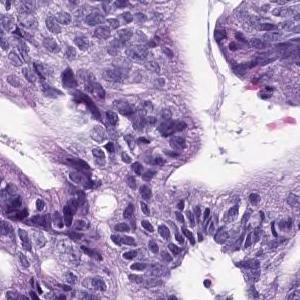
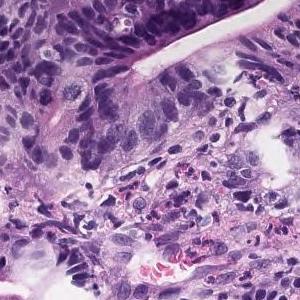
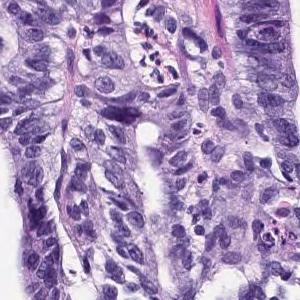
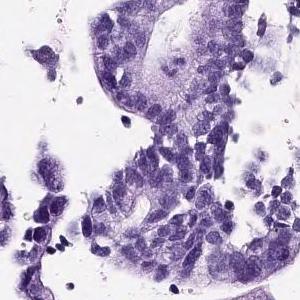
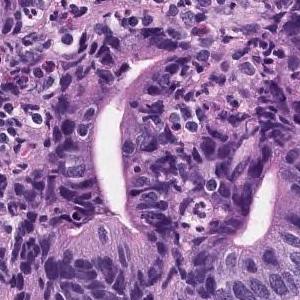
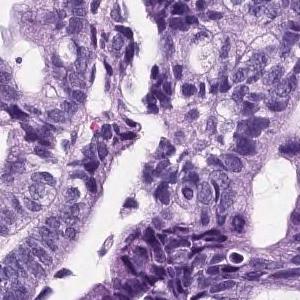
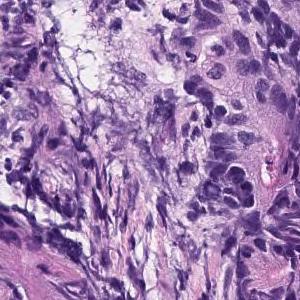
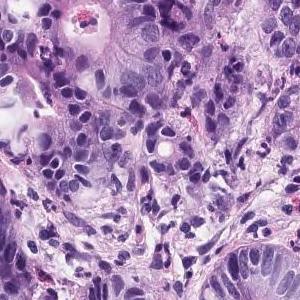
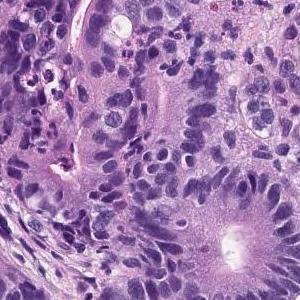
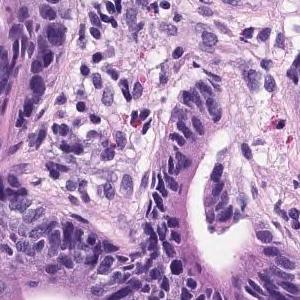
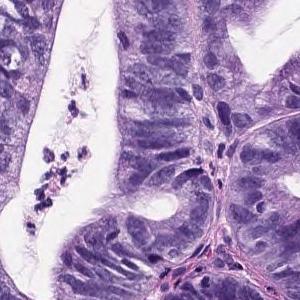
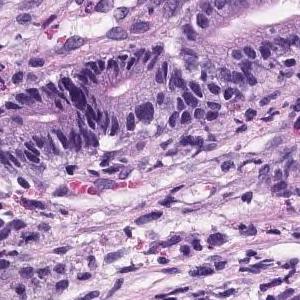
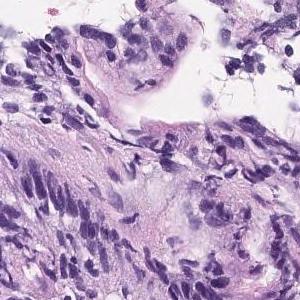
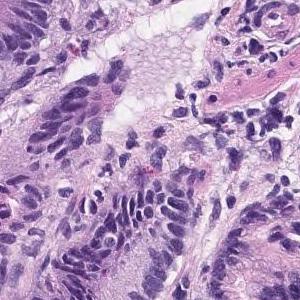
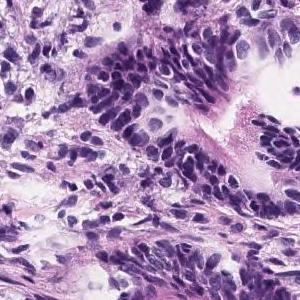
15 tiles from the same stomach biopsy slide, hematoxylin and eosin stain.
Diagnostic report for the slide these tiles come from. The report and the diagnosis describe the slide as a whole, so these tiles may not show every feature named and may include non-tumor tissue.
On the superficial epithelium, tumor tissue consisting of medium-sized to large-sized, round or irregular glandular duct growth images is observed. Well differentiated adenocarcinoma.
Histological subtype: Well differentiated tubular adenocarcinoma.
